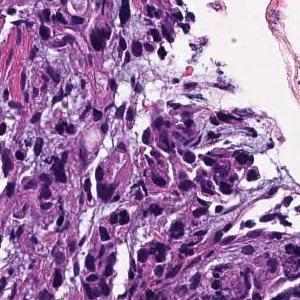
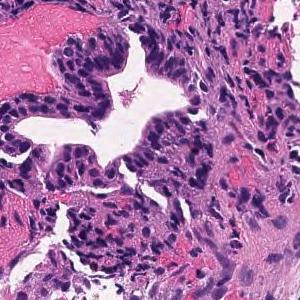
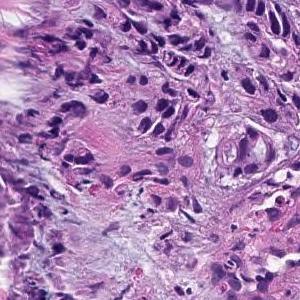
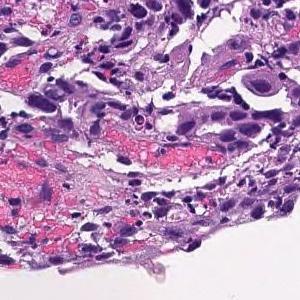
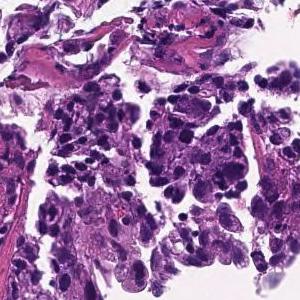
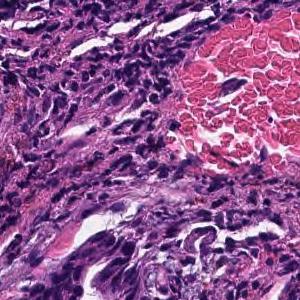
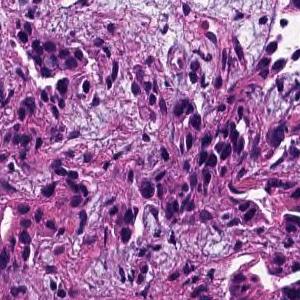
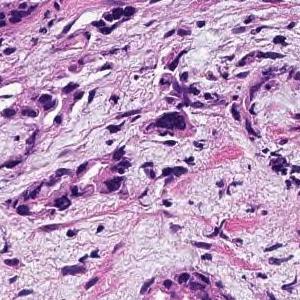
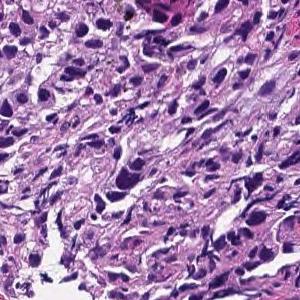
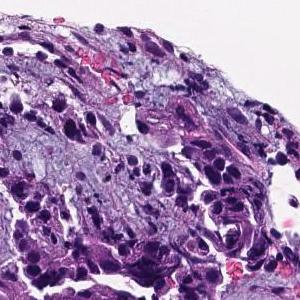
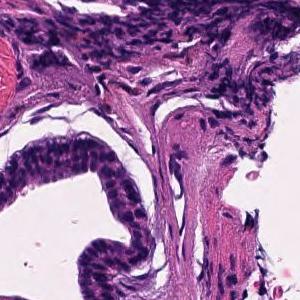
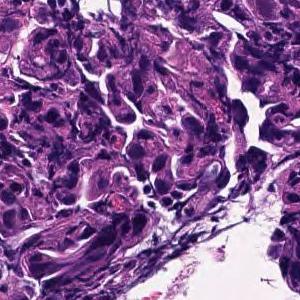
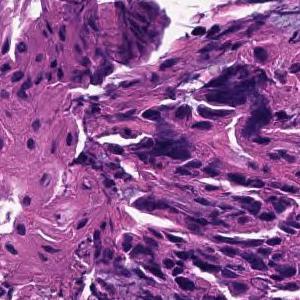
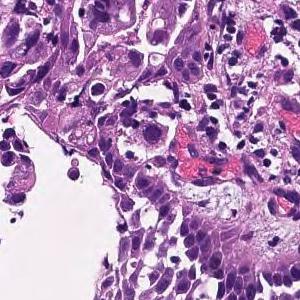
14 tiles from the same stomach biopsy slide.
Report on the slide these tiles come from. The report describes the whole slide, diagnosis included: not every finding it names need appear in these tiles, which may also show non-tumor tissue.
Tumor tissue consisting of cord-like or small, irregular glandular ducts fused and infiltrated is observed in the superficial epithelium. Poorly differentiated adenocarcinoma, non-solid type
The term "non-solid type" comes from the Japanese Classification of Gastric Carcinoma.
